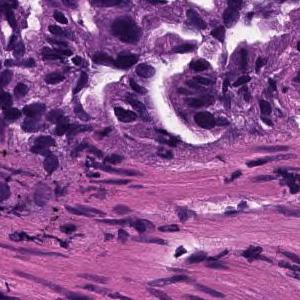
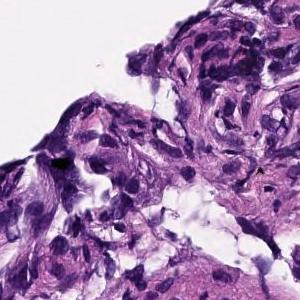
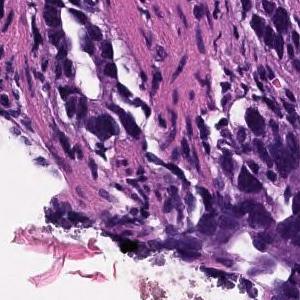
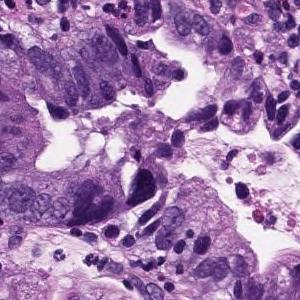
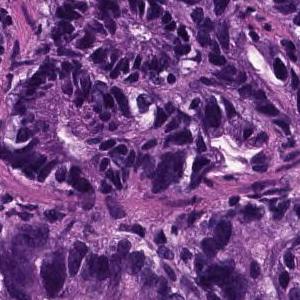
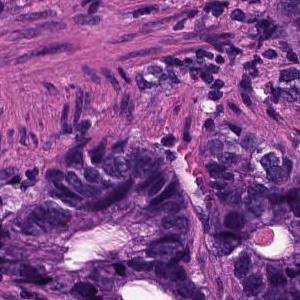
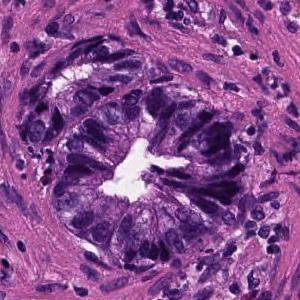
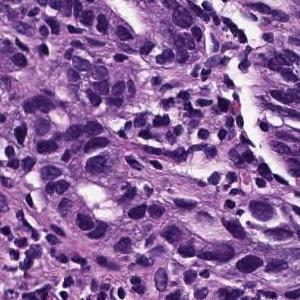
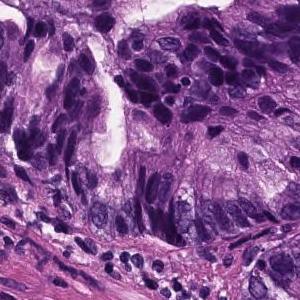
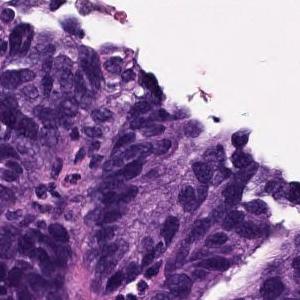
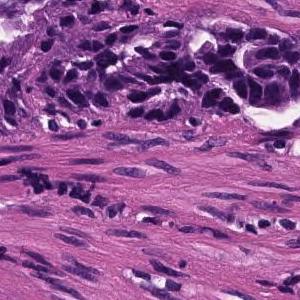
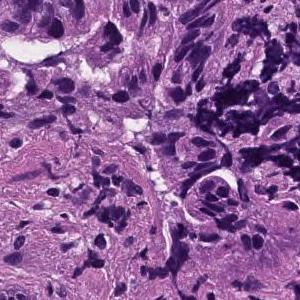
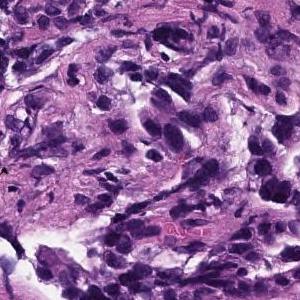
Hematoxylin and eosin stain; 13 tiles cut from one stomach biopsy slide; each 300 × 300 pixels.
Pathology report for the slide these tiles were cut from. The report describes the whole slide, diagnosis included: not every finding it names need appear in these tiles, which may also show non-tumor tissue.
In the superficial epithelium, tumor tissue that invades by forming medium-sized to small, irregular ducts is observed. Moderately differentiated adenocarcinoma.
Histological subtype: Moderately differentiated tubular adenocarcinoma.
